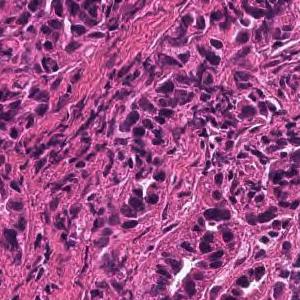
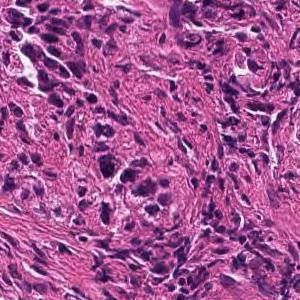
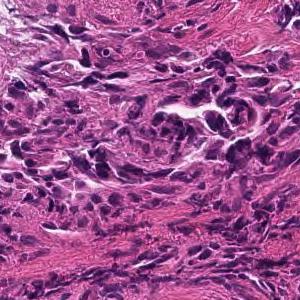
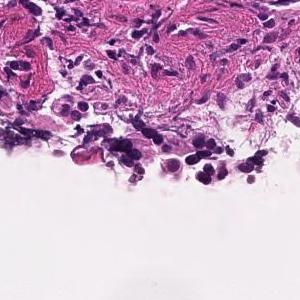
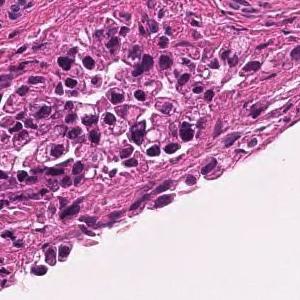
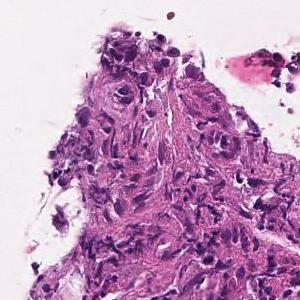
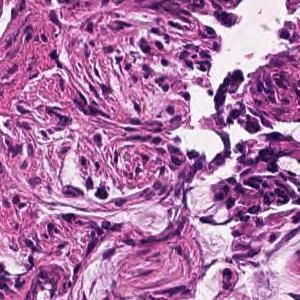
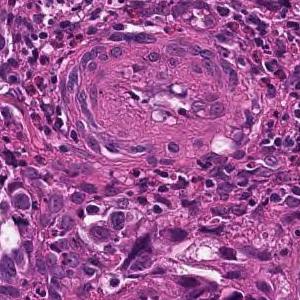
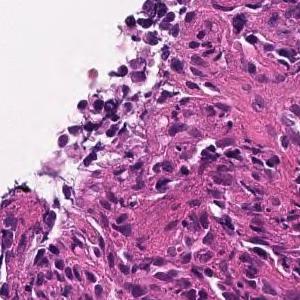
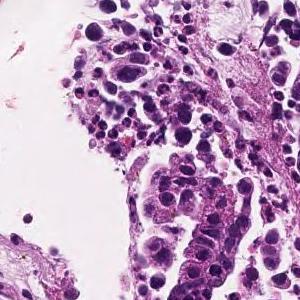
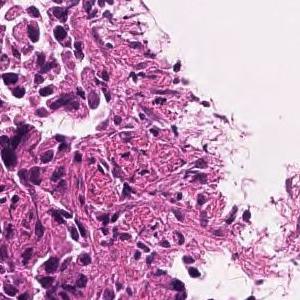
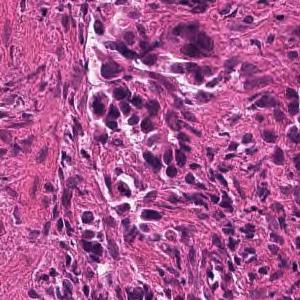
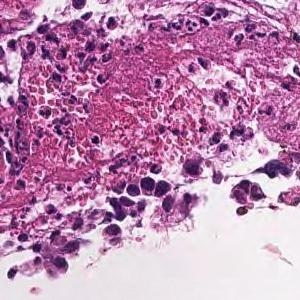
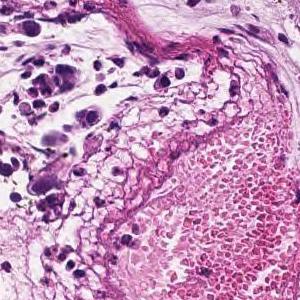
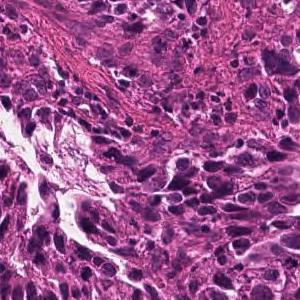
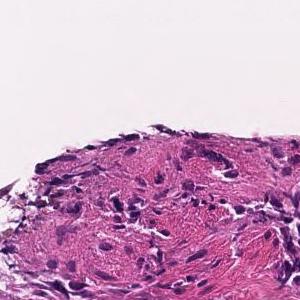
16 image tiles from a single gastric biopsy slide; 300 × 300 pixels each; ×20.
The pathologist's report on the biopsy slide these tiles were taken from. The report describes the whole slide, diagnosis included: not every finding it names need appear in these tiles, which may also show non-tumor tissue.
In the superficial epithelium, tumor tissue that invades by forming medium-sized to small, irregular ducts is observed. moderately differentiated tubular adenocarcinoma.
